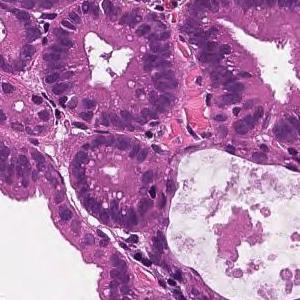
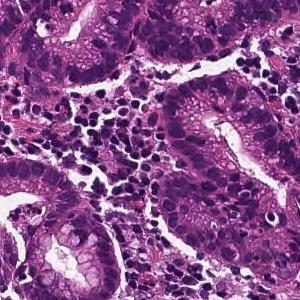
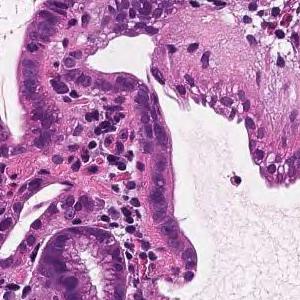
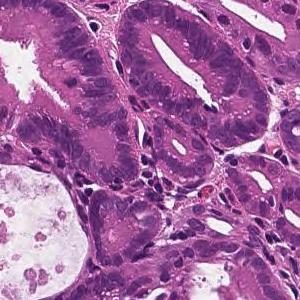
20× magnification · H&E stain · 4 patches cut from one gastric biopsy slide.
Pathology report for the slide these tiles were cut from. Both the report and the diagnosis are for the whole slide: these tiles need not show every feature named, and some of the tissue shown may not be tumor.
In the superficial epithelium, tumor tissue that invades by forming medium-sized to small, irregular ducts is observed. moderately differentiated tubular adenocarcinoma.
